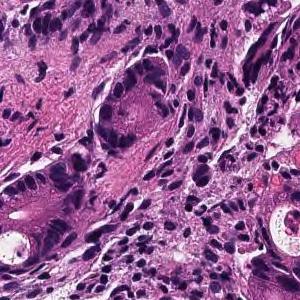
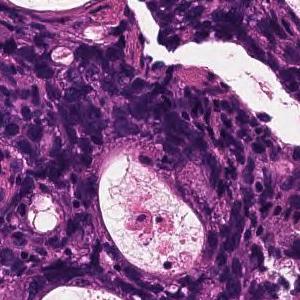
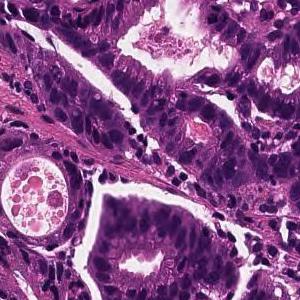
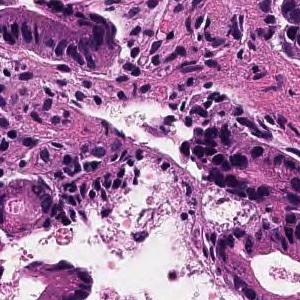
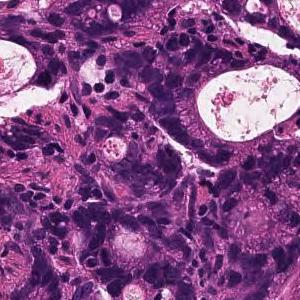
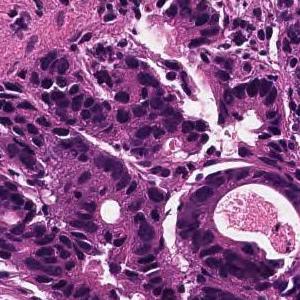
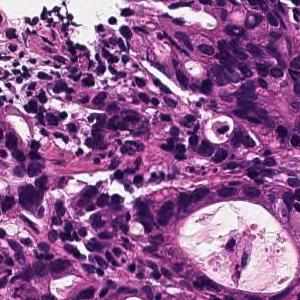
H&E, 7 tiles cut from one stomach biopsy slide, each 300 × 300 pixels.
Pathology report for the slide these tiles were cut from. The findings and the diagnosis refer to the entire slide; these tiles show only part of it, possibly with non-tumor tissue, and may not show every feature named.
In the superficial epithelium, tumor tissue that invades by forming medium-sized to small, irregular ducts is observed. moderately differentiated tubular adenocarcinoma.
